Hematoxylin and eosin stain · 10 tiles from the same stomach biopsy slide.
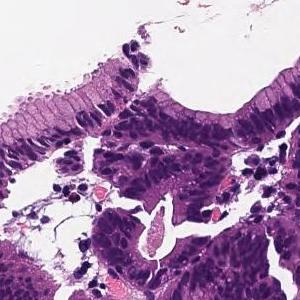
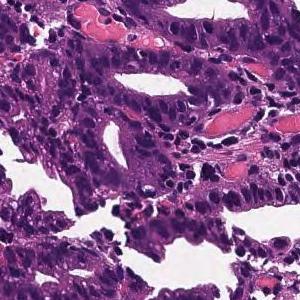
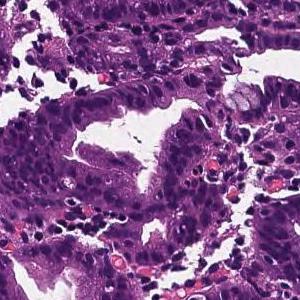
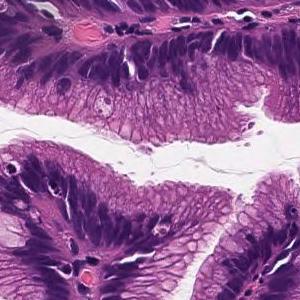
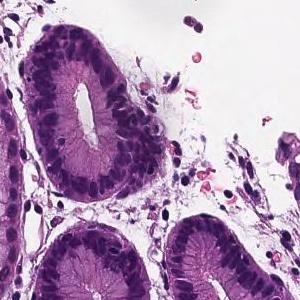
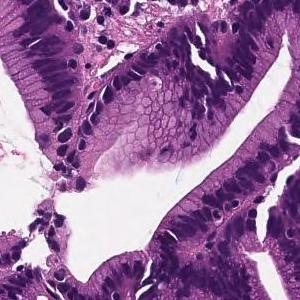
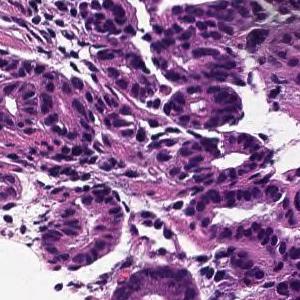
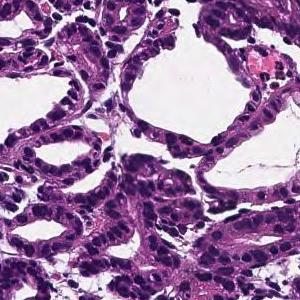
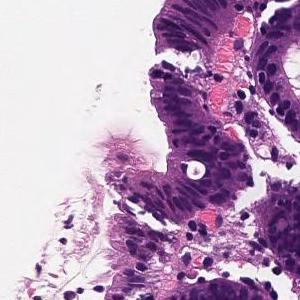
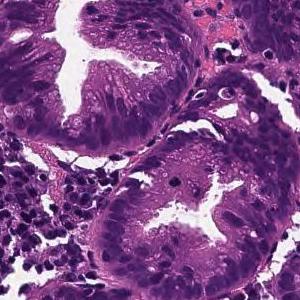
The pathologist's report on the biopsy slide these tiles were taken from. What the report and the diagnosis say applies to the whole slide; these tiles may miss some of the features named and may include tissue that is not tumor.
Cells with elliptical or atypical nuclei form dense ducts with relatively clear growth. Well differentiated tubular adenocarcinoma
